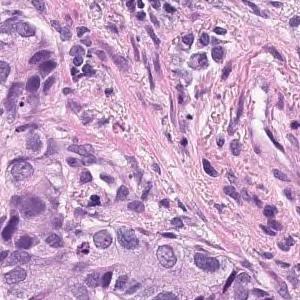
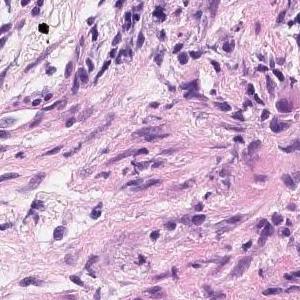
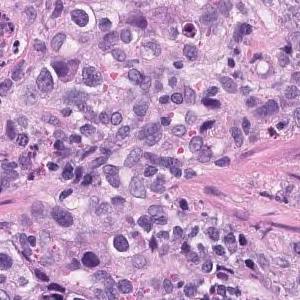
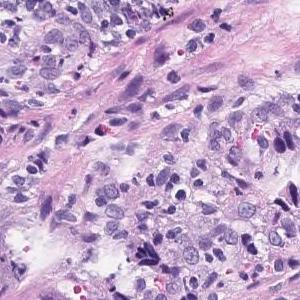
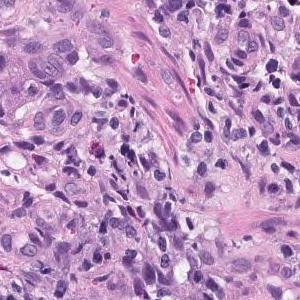
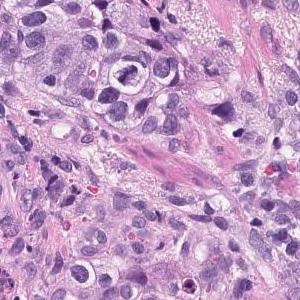
H&E, 6 tiles from the same stomach biopsy slide, 300 × 300 pixels each.
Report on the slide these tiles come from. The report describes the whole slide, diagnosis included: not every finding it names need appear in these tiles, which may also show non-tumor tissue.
Group 5, Moderately differentiated adenocarcinoma
Classified as moderately differentiated tubular adenocarcinoma.
